10 image tiles from a single gastric biopsy slide; H&E stain; ×20.
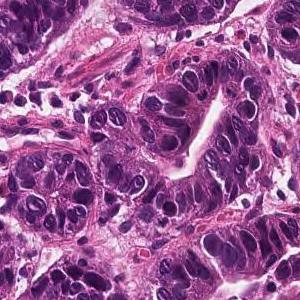
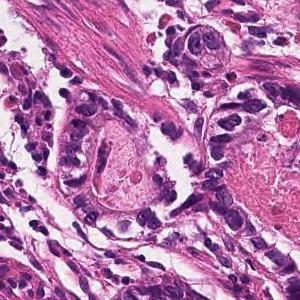
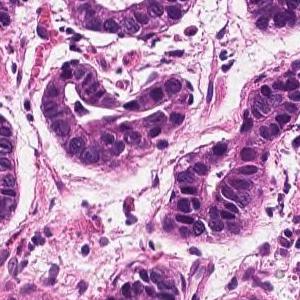
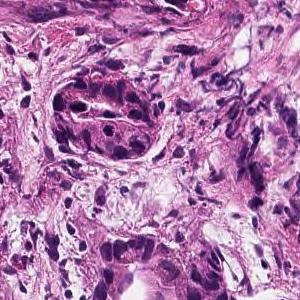
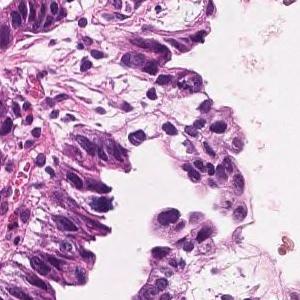
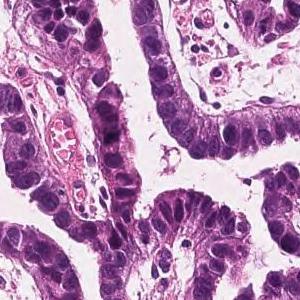
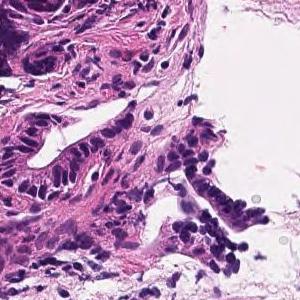
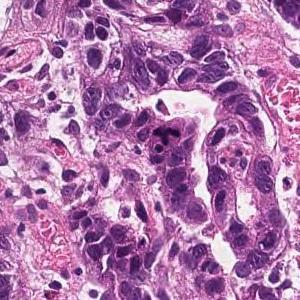
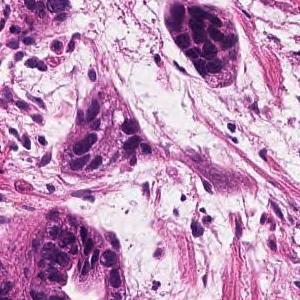
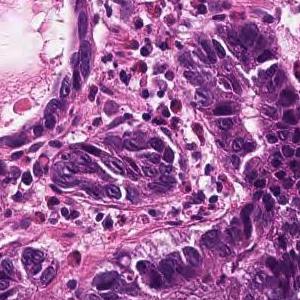
The pathologist's report on the biopsy slide these tiles were taken from. The report and the diagnosis cover the entire slide, so not every feature they name need be visible here, and some tissue shown may not be tumor.
In the superficial epithelium, tumor tissue that invades by forming medium-sized to small, irregular ducts is observed. Well differentiated tubular adenocarcinoma.
